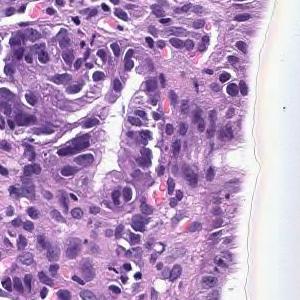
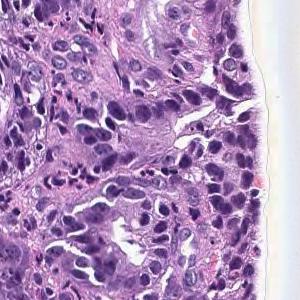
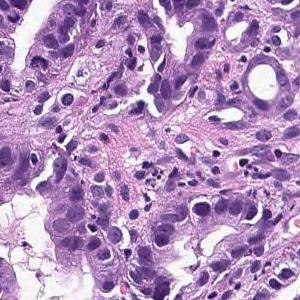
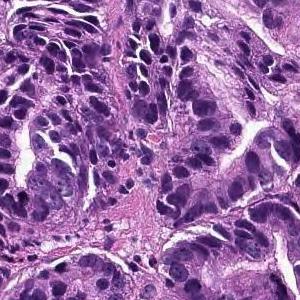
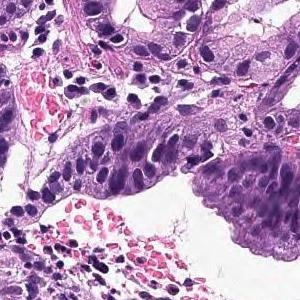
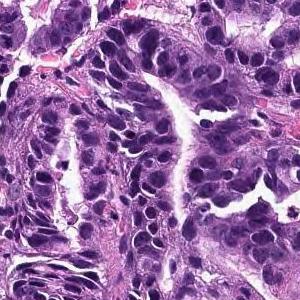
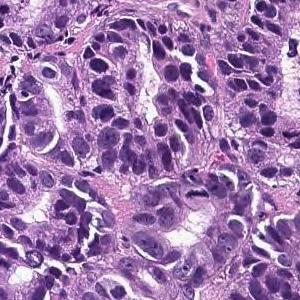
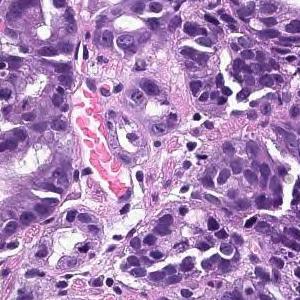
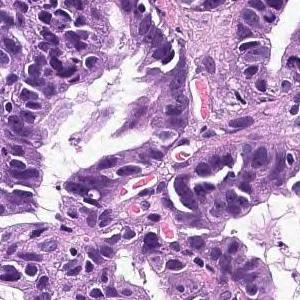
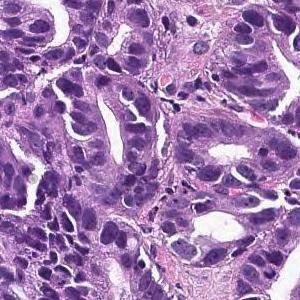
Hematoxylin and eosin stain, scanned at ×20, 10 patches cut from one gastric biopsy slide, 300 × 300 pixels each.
Pathology report for the slide these tiles were cut from. The report and the diagnosis cover the entire slide, so not every feature they name need be visible here, and some tissue shown may not be tumor.
On the superficial epithelium, tumor tissue that infiltrates by forming medium-sized papillary or small irregular ducts is observed. Papillary adenocarcinoma
